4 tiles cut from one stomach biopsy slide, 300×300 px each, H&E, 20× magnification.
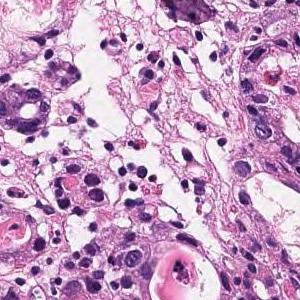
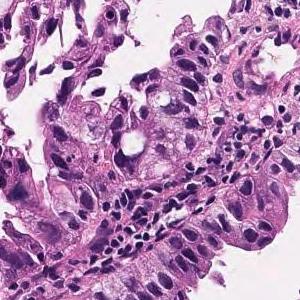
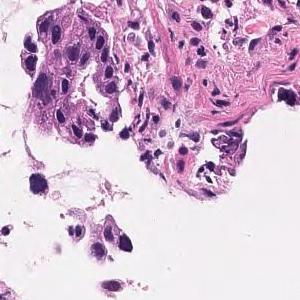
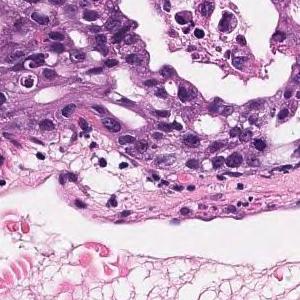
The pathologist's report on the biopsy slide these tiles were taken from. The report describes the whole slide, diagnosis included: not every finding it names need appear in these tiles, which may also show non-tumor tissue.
In the superficial epithelium, tumor tissue that invades by forming medium-sized to small, irregular ducts is observed. Moderately differentiated adenocarcinoma.
Classified as moderately differentiated tubular adenocarcinoma.
